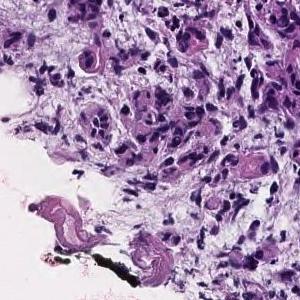
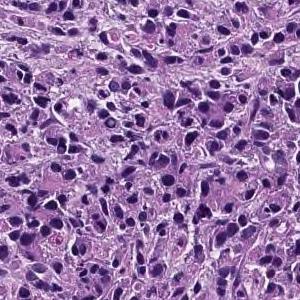
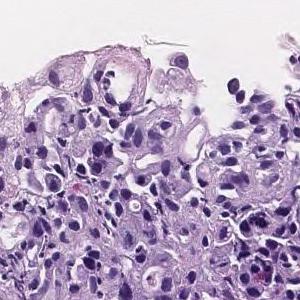
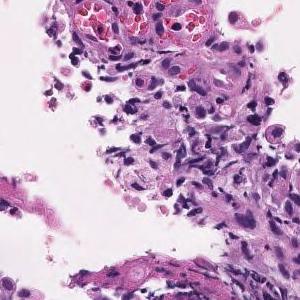
4 image tiles from a single gastric biopsy slide; each 300 × 300 pixels; H&E stain; scanned at ×20.
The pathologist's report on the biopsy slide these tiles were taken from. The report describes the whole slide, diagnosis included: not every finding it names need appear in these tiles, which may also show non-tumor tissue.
The superficial epithelium shows a large sheet-like shape, and some tumor tissue infiltrates with small irregular ducts. Poorly differentiated adenocarcinoma, solid-type
Classified as poorly differentiated adenocarcinoma, solid type, a category of the Japanese Classification of Gastric Carcinoma; in the WHO 2019 classification it is tubular adenocarcinoma, poorly differentiated.
